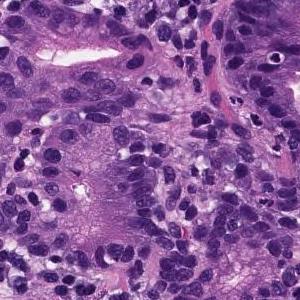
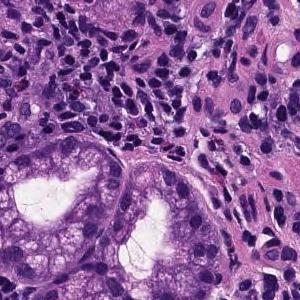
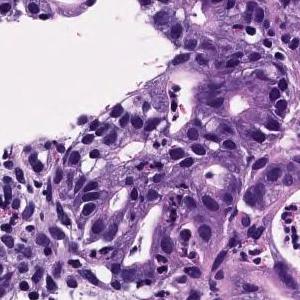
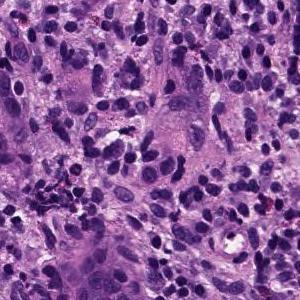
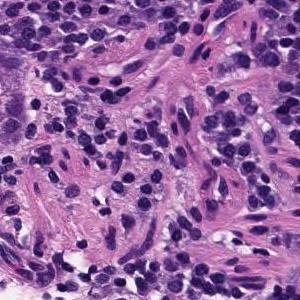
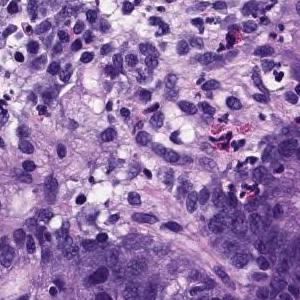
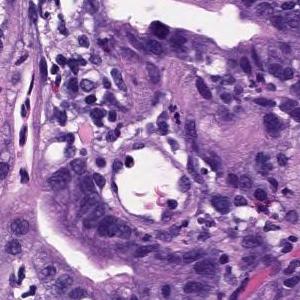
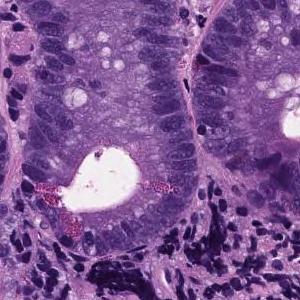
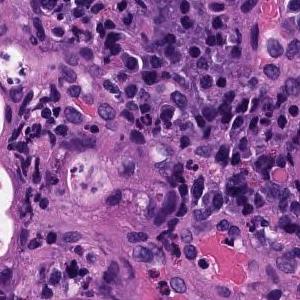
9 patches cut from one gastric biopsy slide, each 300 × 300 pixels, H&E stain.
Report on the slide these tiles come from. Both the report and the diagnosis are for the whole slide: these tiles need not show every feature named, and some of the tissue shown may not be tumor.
Medium to small, irregular glandular ducts are formed in the superficial epithelium, and in some cases, the glandular ducts are fused to show solid alveolar lesions and infiltrating tumor tissue is observed. Moderately to poorly differentiated adenocarcinoma.
